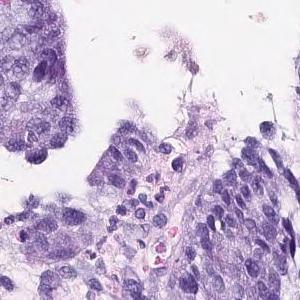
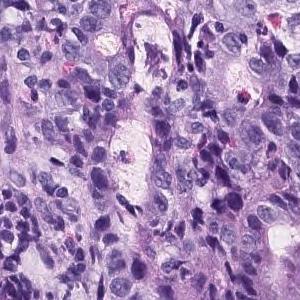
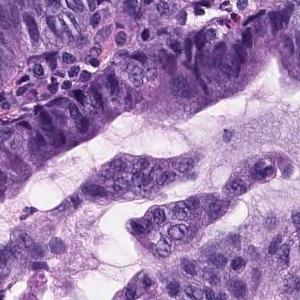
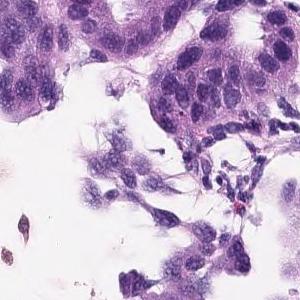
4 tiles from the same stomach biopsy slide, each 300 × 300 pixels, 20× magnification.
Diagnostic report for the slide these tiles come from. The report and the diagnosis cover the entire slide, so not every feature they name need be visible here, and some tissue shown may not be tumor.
In the superficial epithelium, tumor tissue that invades by forming medium-sized to small, irregular ducts is observed. Well to moderately differentiated tubular adenocarcinoma.
